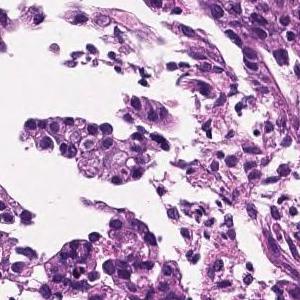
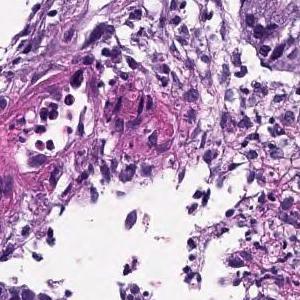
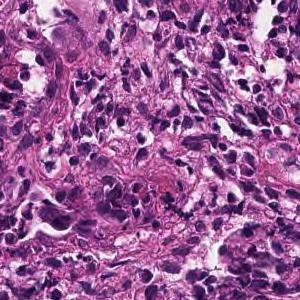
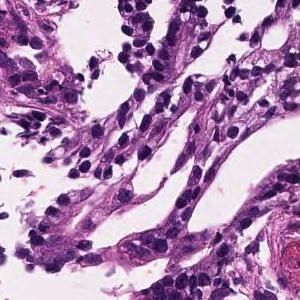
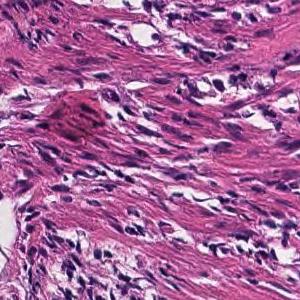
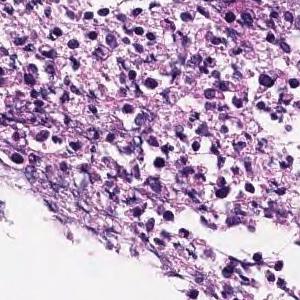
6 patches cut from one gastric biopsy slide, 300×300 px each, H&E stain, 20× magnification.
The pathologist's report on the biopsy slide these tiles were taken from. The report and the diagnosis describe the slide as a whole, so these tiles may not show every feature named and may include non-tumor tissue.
In the superficial epithelium, medium to small, irregular gland ducts are formed, and in some cases, the gland ducts are fused to show solid alveolar lesions and infiltrating tumor tissue is observed. Moderately to poorly differentiated adenocarcinoma.
